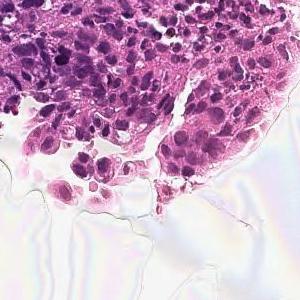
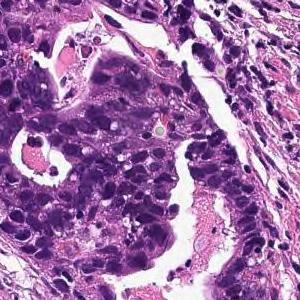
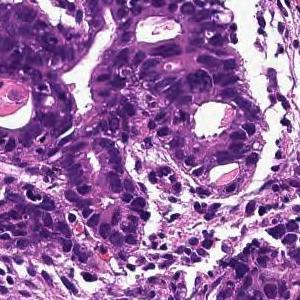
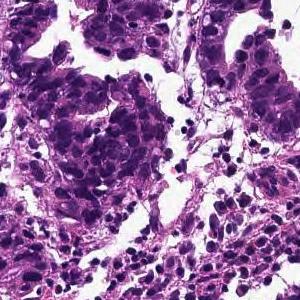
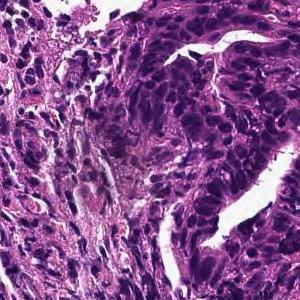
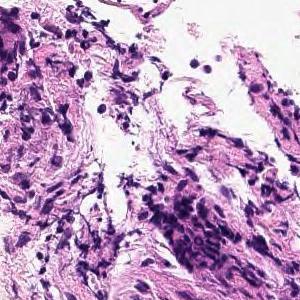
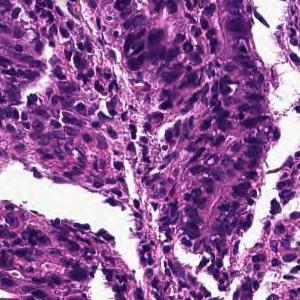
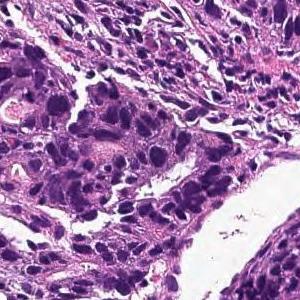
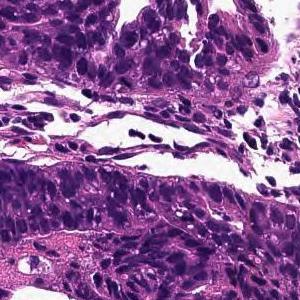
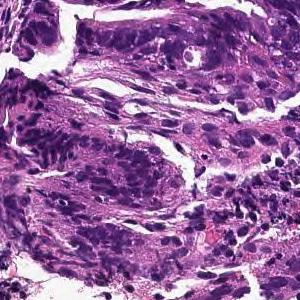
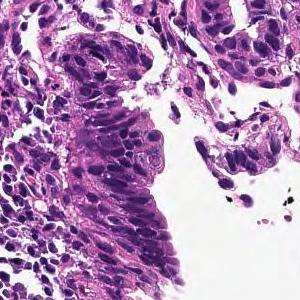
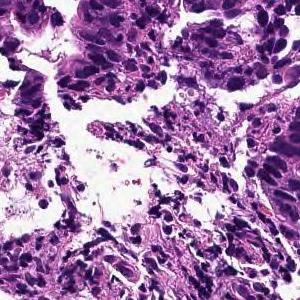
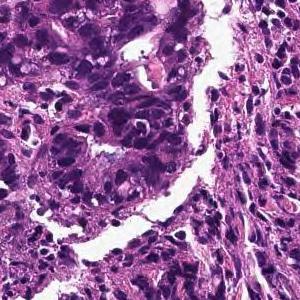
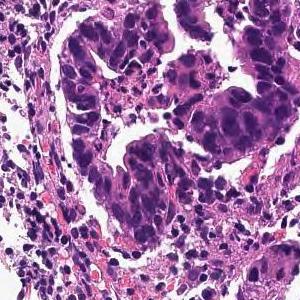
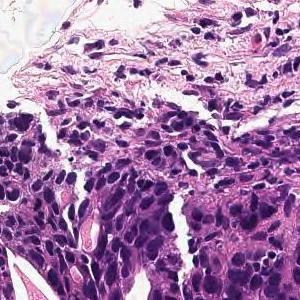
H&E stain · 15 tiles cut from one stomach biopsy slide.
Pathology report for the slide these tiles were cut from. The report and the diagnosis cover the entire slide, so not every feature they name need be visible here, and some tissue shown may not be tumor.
In the superficial epithelium, tumor tissue that invades by forming medium-sized to small, irregular ducts is observed. moderately differentiated tubular adenocarcinoma.
